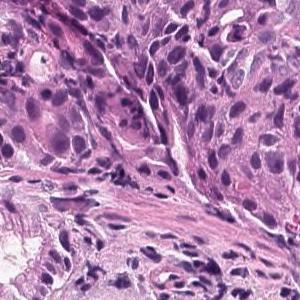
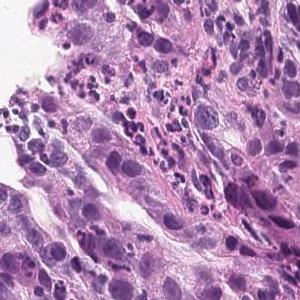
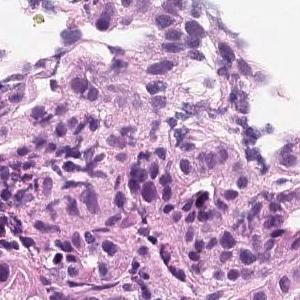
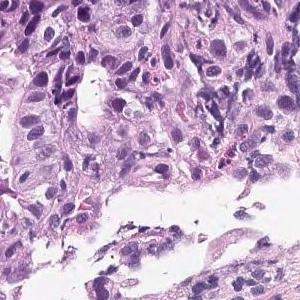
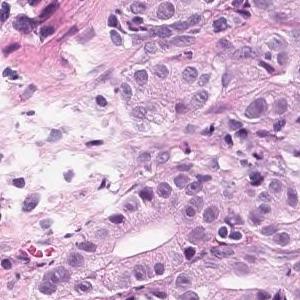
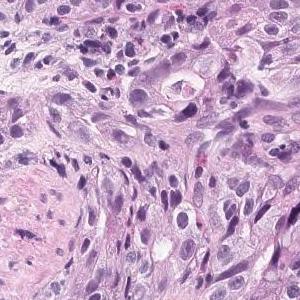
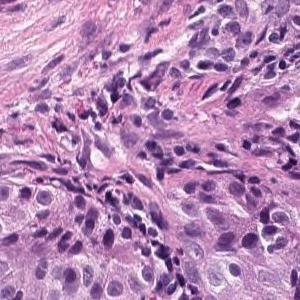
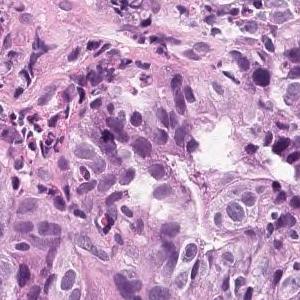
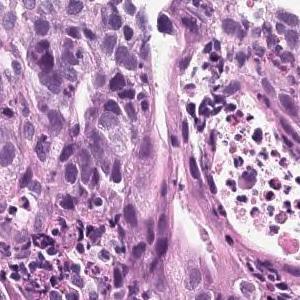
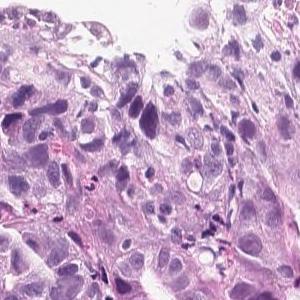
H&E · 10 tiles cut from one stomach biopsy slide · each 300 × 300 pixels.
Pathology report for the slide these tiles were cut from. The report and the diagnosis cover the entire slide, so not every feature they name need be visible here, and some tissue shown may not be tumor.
On the superficial epithelium, tumor tissue consisting of medium-sized to large-sized, irregular tubules partially fused and densely proliferating is observed. moderately differentiated tubular adenocarcinoma
